11 image tiles from a single gastric biopsy slide, 300 × 300 pixels each.
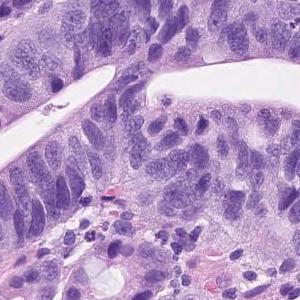
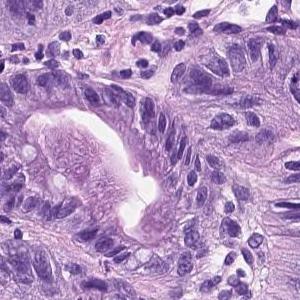
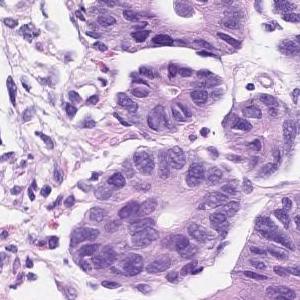
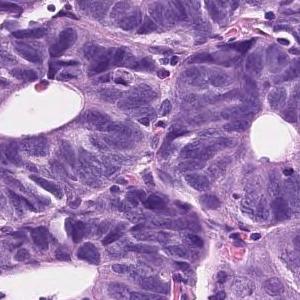
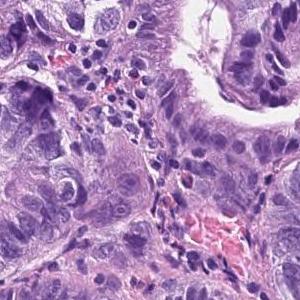
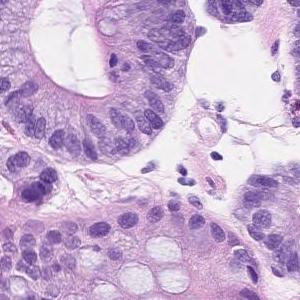
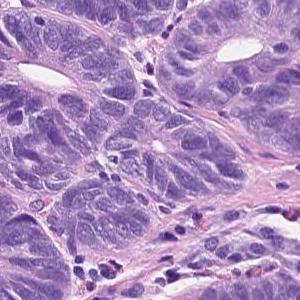
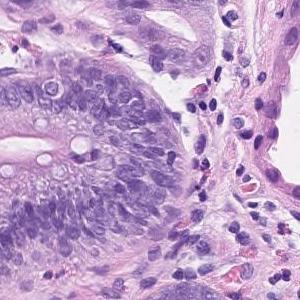
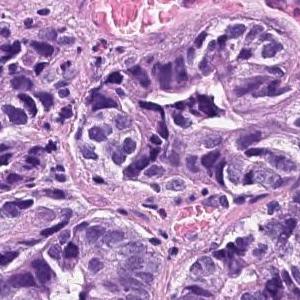
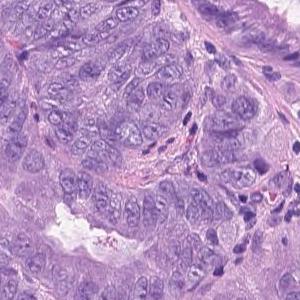
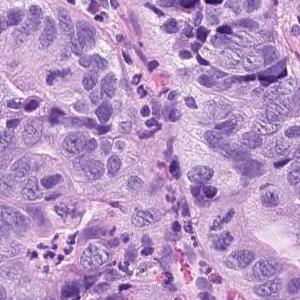
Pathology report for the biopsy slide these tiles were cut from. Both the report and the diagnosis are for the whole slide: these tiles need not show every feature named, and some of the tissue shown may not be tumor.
Tumor tissue consisting of medium-sized and irregular ducts is observed infiltrating in the superficial epithelium. Tumor cells are highly columnar, with nuclei aligned basolaterally and polarized. Well differentiated tubular adenocarcinoma.
